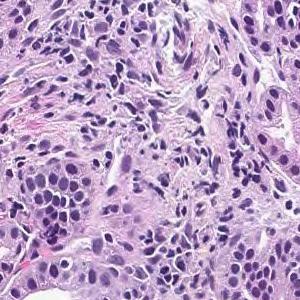
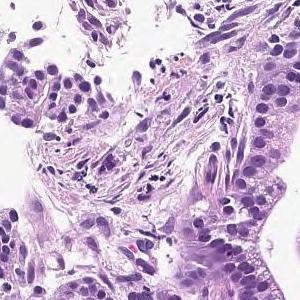
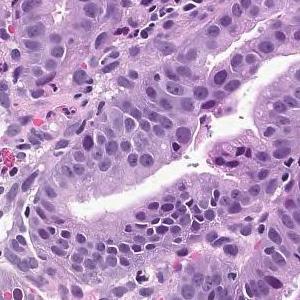
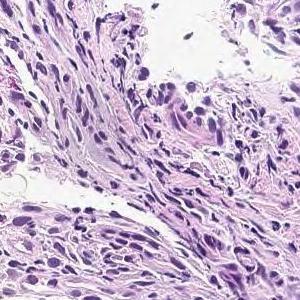
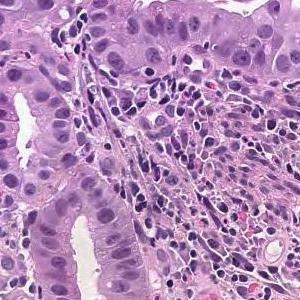
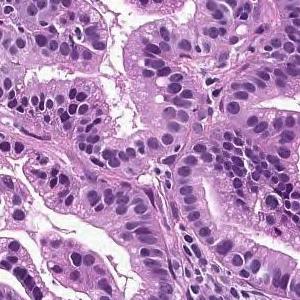
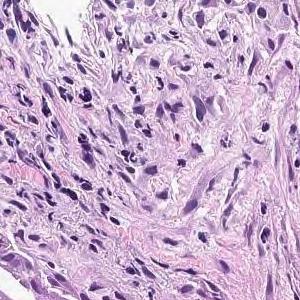
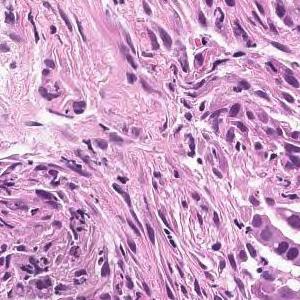
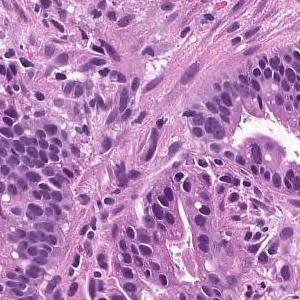
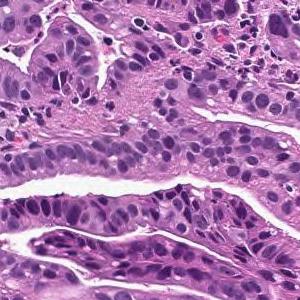
H&E stain · scanned at ×20 · 10 patches cut from one gastric biopsy slide.
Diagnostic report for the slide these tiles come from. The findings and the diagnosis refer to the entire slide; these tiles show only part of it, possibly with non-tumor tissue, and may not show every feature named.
On the superficial epithelium, tumor tissue that infiltrates by forming medium-sized papillary or small irregular ducts is observed. Papillary adenocarcinoma
